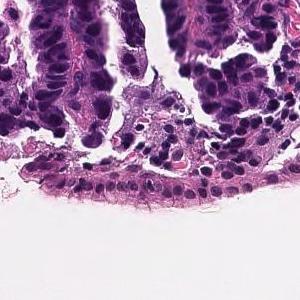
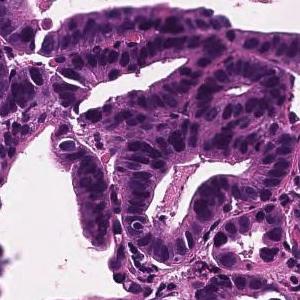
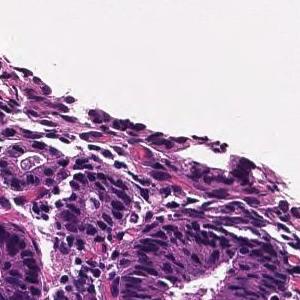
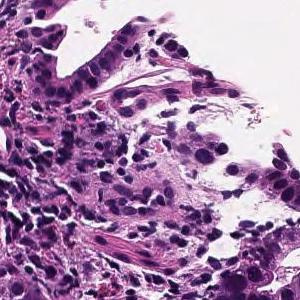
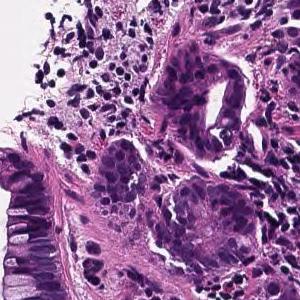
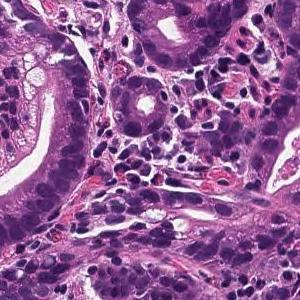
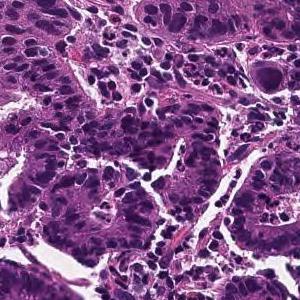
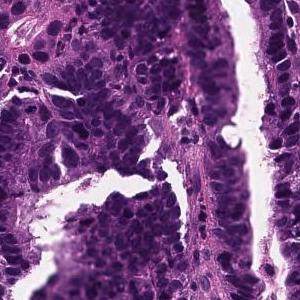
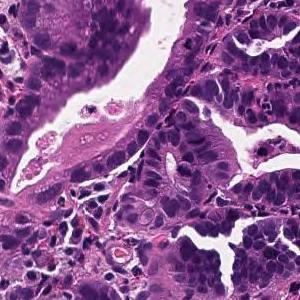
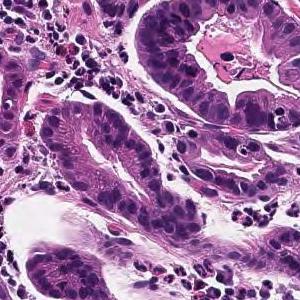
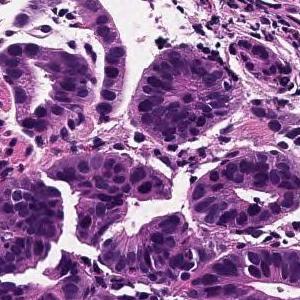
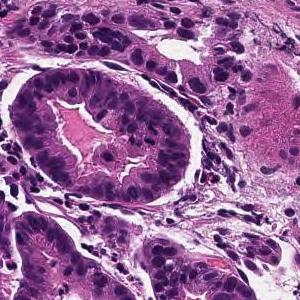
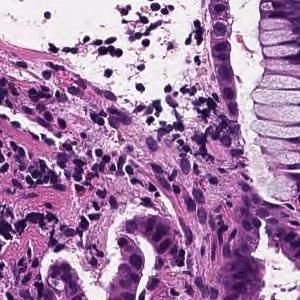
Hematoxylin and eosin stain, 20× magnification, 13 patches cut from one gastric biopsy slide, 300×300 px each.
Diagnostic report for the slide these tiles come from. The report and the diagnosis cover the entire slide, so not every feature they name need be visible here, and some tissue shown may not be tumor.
From the superficial epithelium to the muscularis mucosae, tumor tissue that invades by forming medium-sized to small irregular gland ducts is observed. Well differentiated tubular adenocarcinoma (well differentiated tubular adenocarcinoma)
Subtype: Well differentiated tubular adenocarcinoma.
